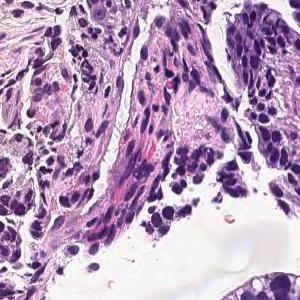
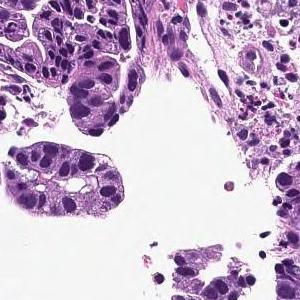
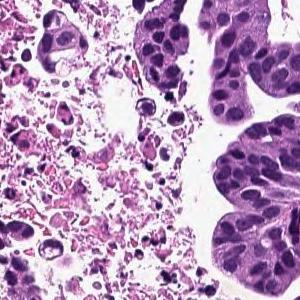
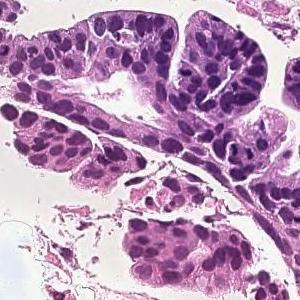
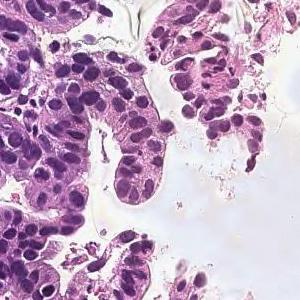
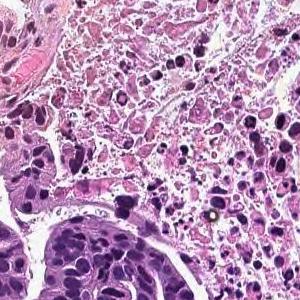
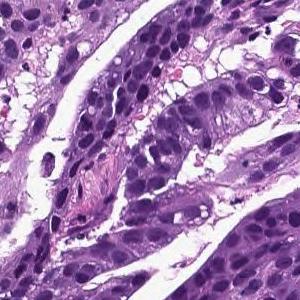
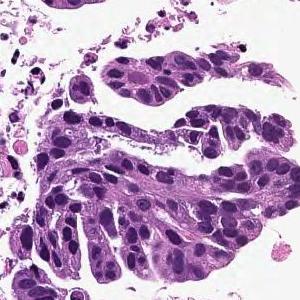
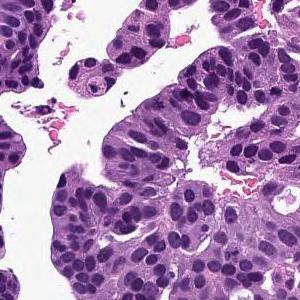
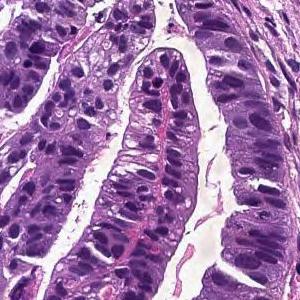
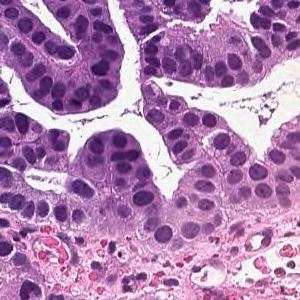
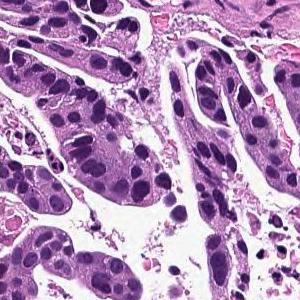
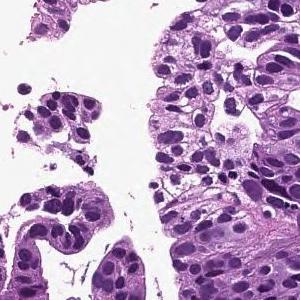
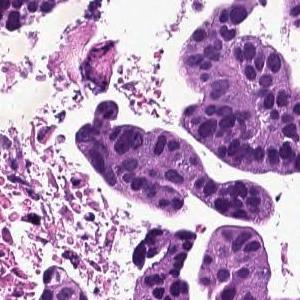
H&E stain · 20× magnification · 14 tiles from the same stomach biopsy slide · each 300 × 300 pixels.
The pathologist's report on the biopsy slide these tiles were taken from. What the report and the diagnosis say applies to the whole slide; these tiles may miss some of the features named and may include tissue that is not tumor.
Tumor cells are large, highly columnar, large club-shaped nuclei, and are associated with chromatin aggregation. Papillary adenocarcinoma.
